6 tiles cut from one stomach biopsy slide, 20× magnification, H&E stain.
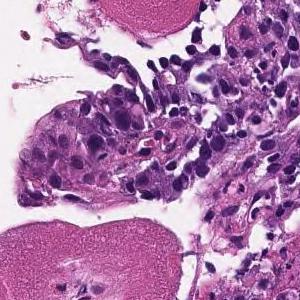
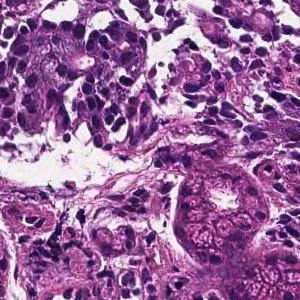
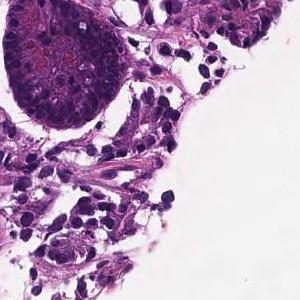
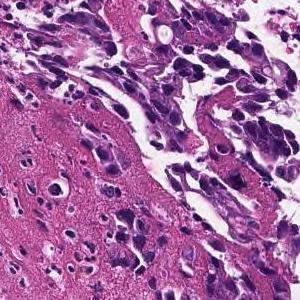
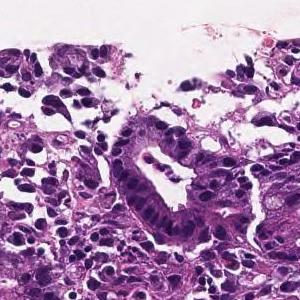
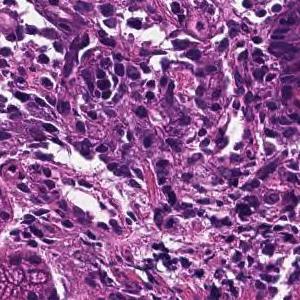
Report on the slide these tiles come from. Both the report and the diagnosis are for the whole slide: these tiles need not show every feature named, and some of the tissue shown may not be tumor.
In the superficial epithelium, tumor tissue that invades by forming medium-sized to small, irregular ducts is observed. moderately differentiated tubular adenocarcinoma.
